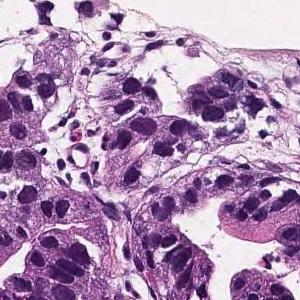
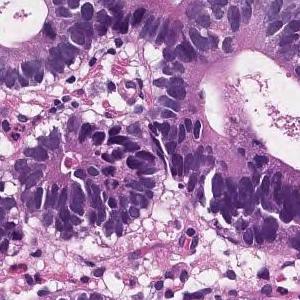
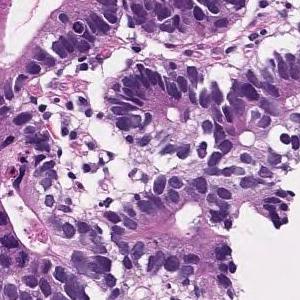
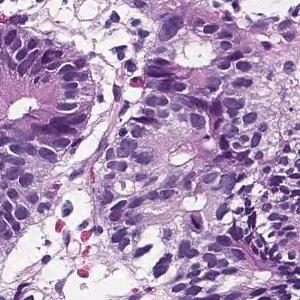
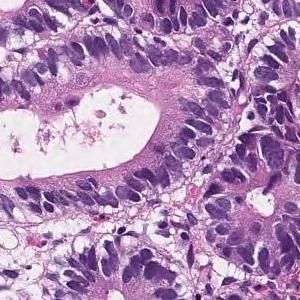
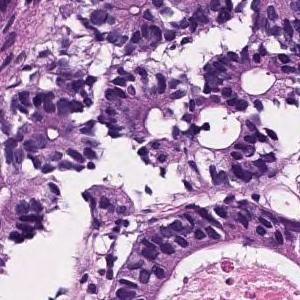
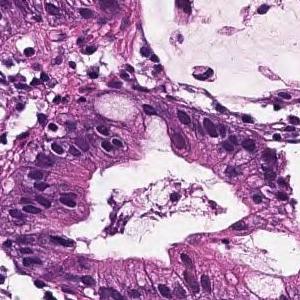
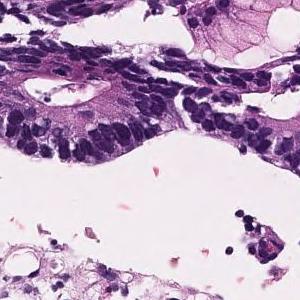
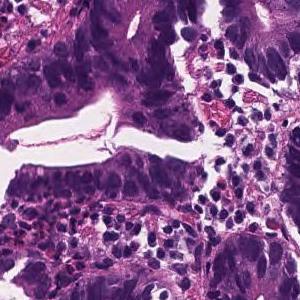
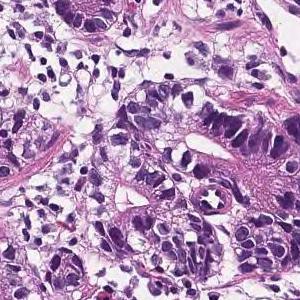
10 tiles cut from one stomach biopsy slide, 300 × 300 pixels each, hematoxylin and eosin stain, scanned at ×20.
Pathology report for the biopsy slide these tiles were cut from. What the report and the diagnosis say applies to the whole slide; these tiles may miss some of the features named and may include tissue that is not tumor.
On the superficial epithelium, tumor tissue consisting of large, irregular glandular ducts partially fused and infiltrated is observed. Well to moderately differentiated tubular adenocarcinoma (well differentiated tubular adenocarcinoma, moderately differentiated tubular adenocarcinoma)
Histological subtype: Well to moderately differentiated tubular adenocarcinoma.
